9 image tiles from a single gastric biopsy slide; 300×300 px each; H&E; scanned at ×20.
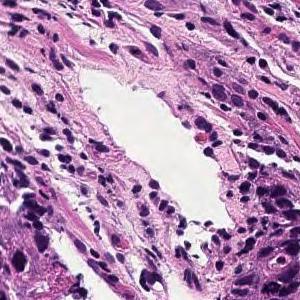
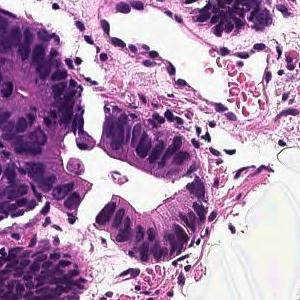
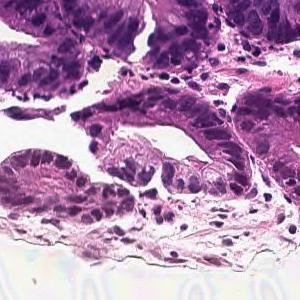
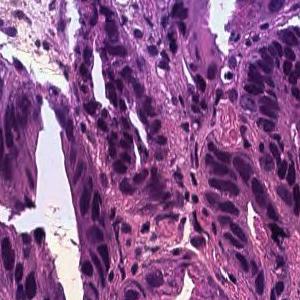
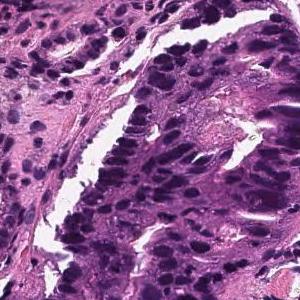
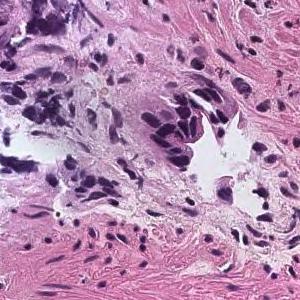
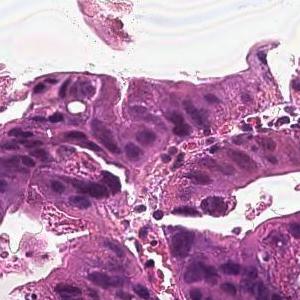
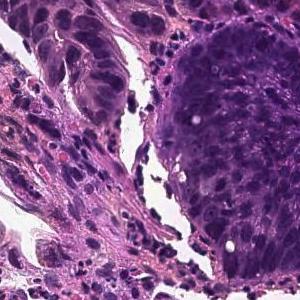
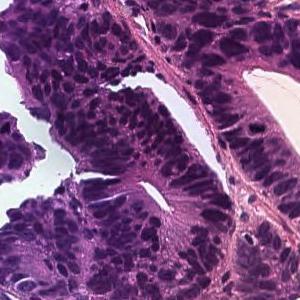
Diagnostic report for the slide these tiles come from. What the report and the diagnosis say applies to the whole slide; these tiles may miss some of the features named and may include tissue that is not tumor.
In the superficial epithelium, tumor tissue that invades by forming medium-sized to small, irregular ducts is observed. moderately differentiated tubular adenocarcinoma.
